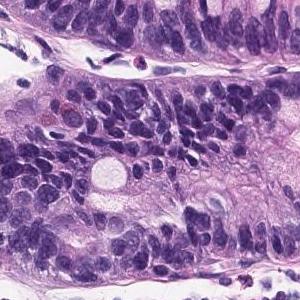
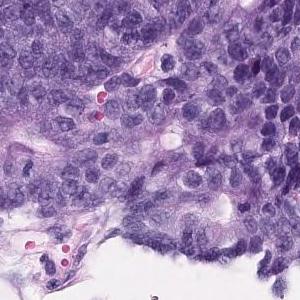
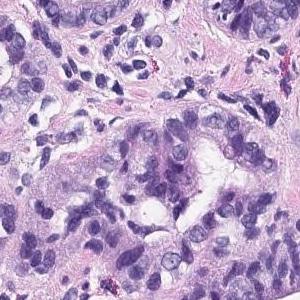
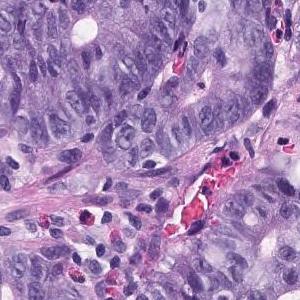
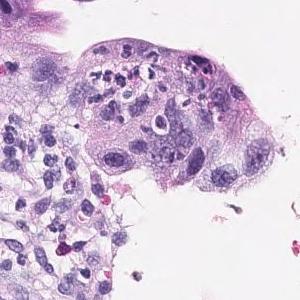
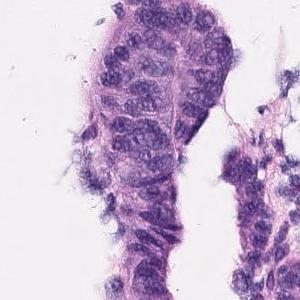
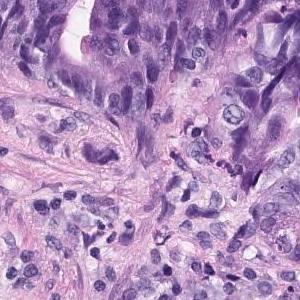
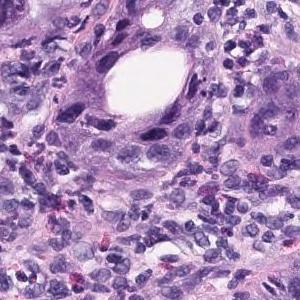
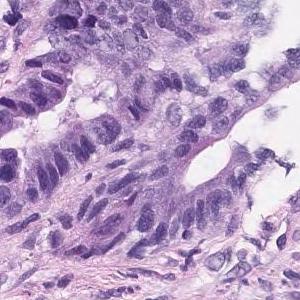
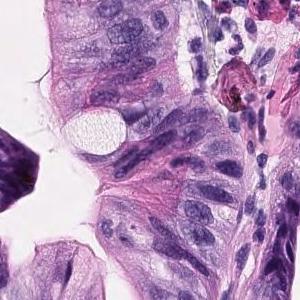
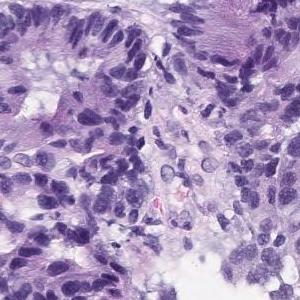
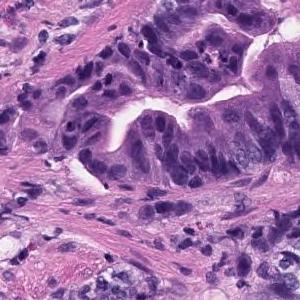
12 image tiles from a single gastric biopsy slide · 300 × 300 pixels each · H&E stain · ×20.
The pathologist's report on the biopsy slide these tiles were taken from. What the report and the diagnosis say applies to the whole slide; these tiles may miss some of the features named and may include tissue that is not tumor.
In the superficial epithelium, tumor tissue that invades by forming medium-sized to small, irregular ducts is observed. Well to moderately differentiated tubular adenocarcinoma.
